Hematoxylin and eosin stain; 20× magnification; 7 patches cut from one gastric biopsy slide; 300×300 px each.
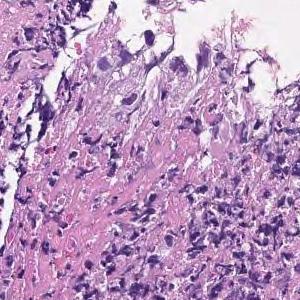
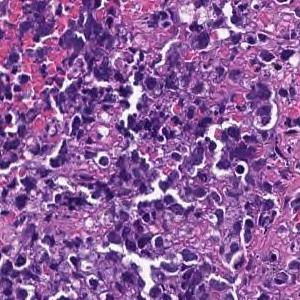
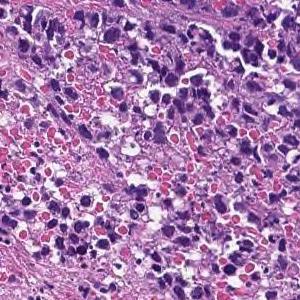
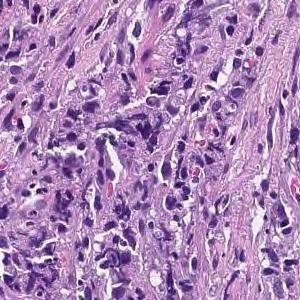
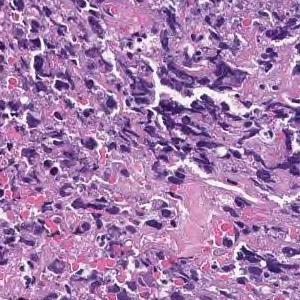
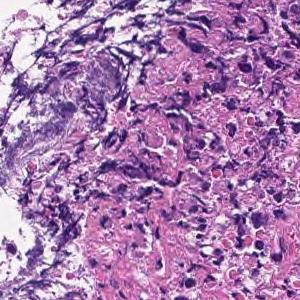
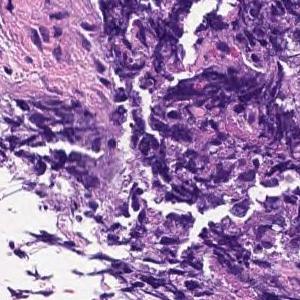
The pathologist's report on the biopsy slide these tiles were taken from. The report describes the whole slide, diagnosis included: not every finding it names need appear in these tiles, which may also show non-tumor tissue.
Most are composed of coagulative necrotic tissue, but some show a large sheet-like shape, and some show tumor tissue infiltrating with a small cord-like structure. Poorly differentiated adenocarcinoma, solid-type
Classified as poorly differentiated adenocarcinoma, solid type (Japanese Classification of Gastric Carcinoma). The WHO 2019 equivalent is tubular adenocarcinoma, poorly differentiated.
